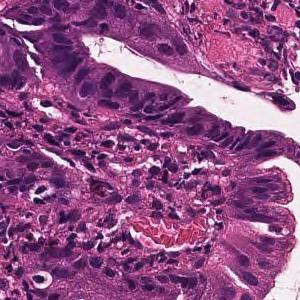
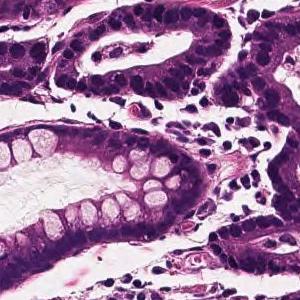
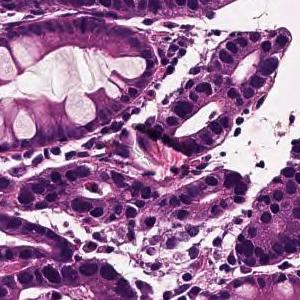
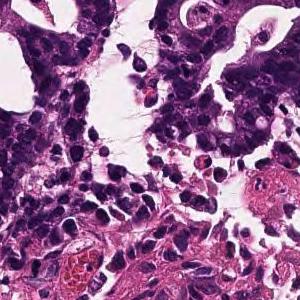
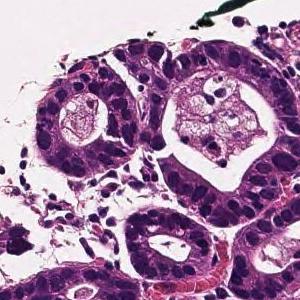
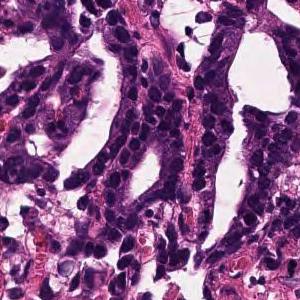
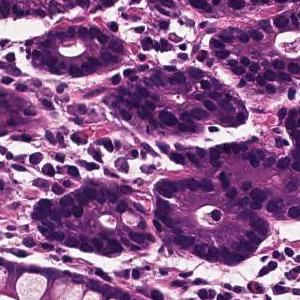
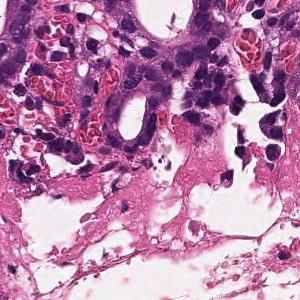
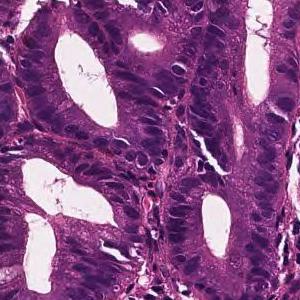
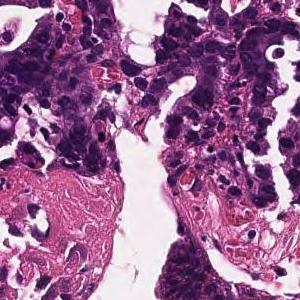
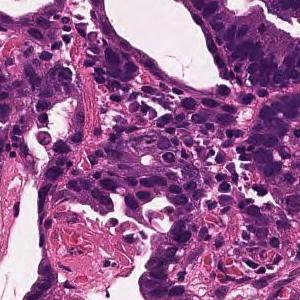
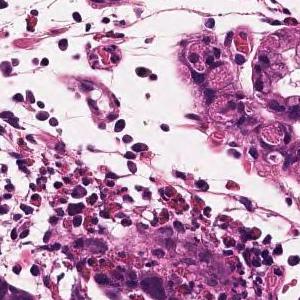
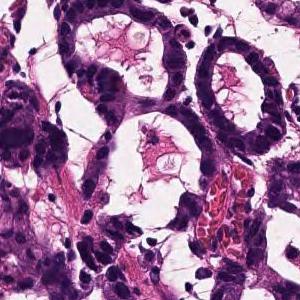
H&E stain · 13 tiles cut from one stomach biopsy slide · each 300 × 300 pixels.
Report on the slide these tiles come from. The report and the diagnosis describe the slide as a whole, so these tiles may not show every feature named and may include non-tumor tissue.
On the superficial epithelium, tumor tissue consisting of medium-sized and irregular glandular ducts partially fused and infiltrated is observed. Well to moderately differentiated tubular adenocarcinoma (well differentiated tubular adenocarcinoma-moderately differentiated tubular adenocarcinoma)
Histologic type: Well to moderately differentiated tubular adenocarcinoma.
